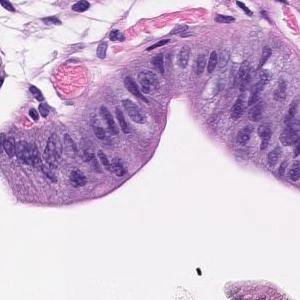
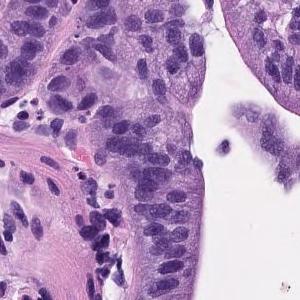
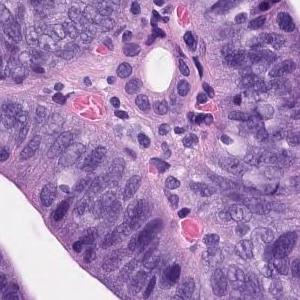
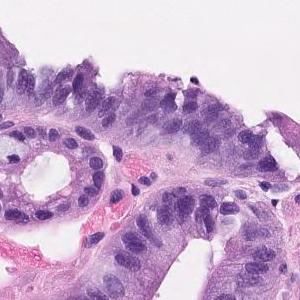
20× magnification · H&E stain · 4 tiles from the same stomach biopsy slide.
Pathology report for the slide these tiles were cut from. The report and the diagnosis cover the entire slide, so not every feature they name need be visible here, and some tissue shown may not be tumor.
On the superficial epithelium, tumor tissue consisting of images of atypical ducts of different sizes partially fused and densely proliferating is observed. Well differentiated tubular adenocarcinoma
